H&E, scanned at ×20, 16 patches cut from one gastric biopsy slide, each 300 × 300 pixels.
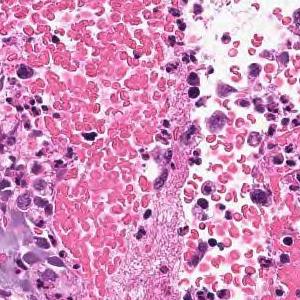
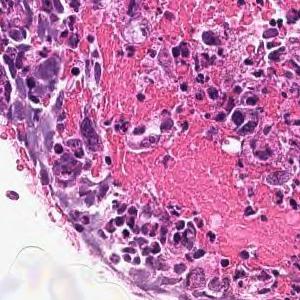
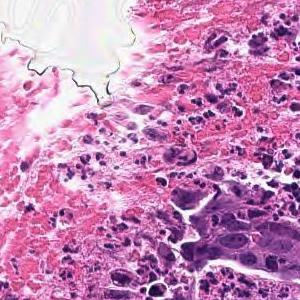
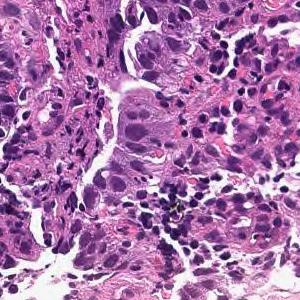
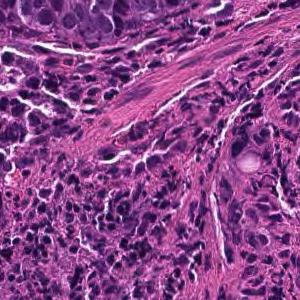
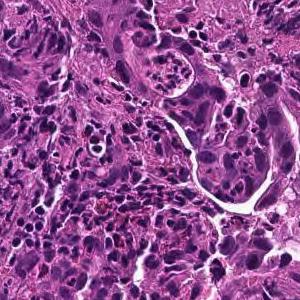
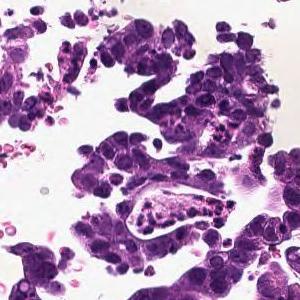
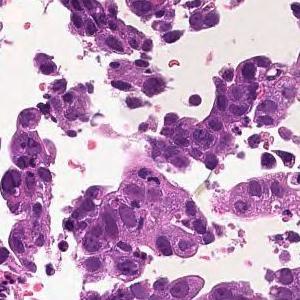
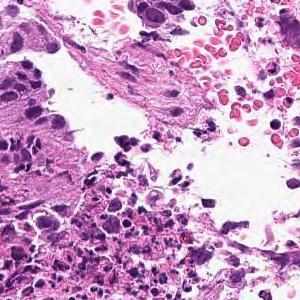
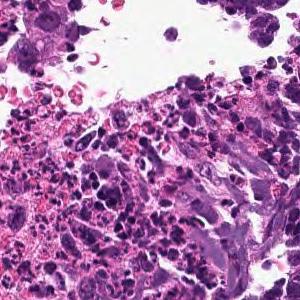
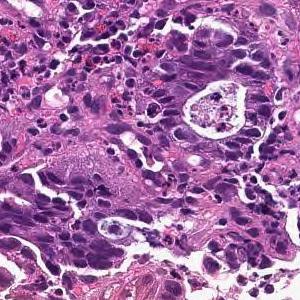
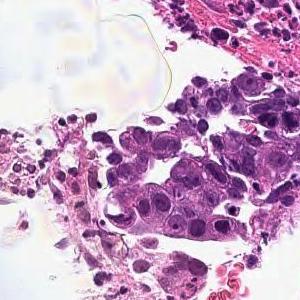
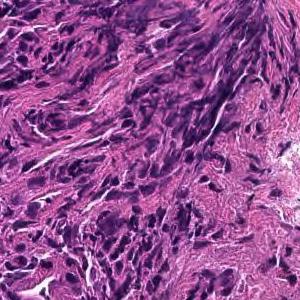
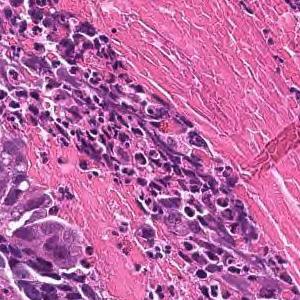
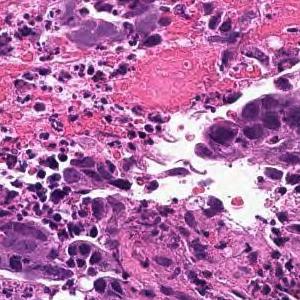
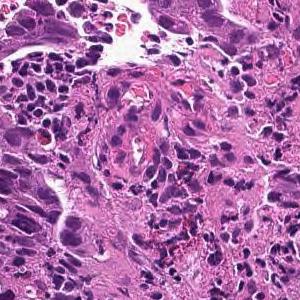
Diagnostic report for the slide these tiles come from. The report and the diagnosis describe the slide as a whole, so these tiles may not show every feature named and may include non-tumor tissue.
In the superficial epithelium, tumor tissue that invades by forming medium-sized to small, irregular ducts is observed. moderately differentiated tubular adenocarcinoma.
